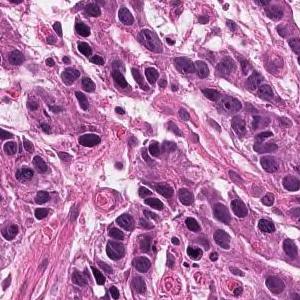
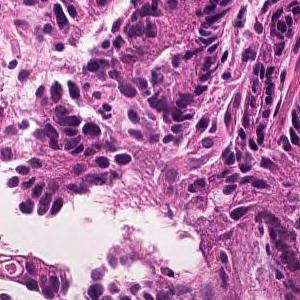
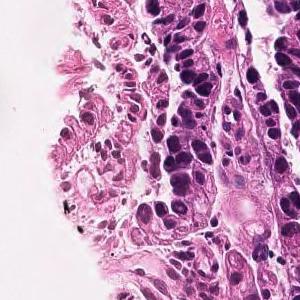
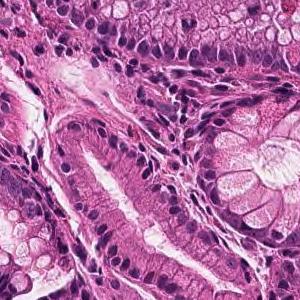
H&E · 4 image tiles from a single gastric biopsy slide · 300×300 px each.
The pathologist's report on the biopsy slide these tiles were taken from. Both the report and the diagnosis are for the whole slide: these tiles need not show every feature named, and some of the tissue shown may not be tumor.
Tumor tissue consisting of medium-sized, cord-like or irregular glandular infiltration is observed in the superficial epithelium. Poorly differentiated adenocarcinoma, non-solid type or moderately differentiated tubular adenocarcinoma
Histological subtype: Moderately to poorly differentiated adenocarcinoma.
The term "non-solid type" comes from the Japanese Classification of Gastric Carcinoma.
